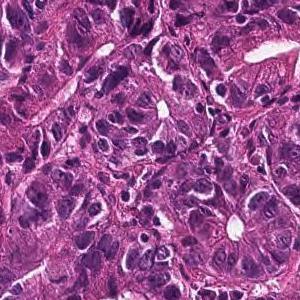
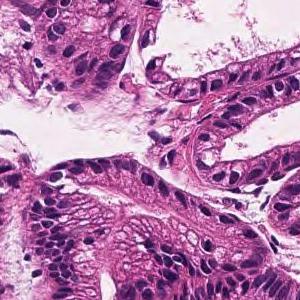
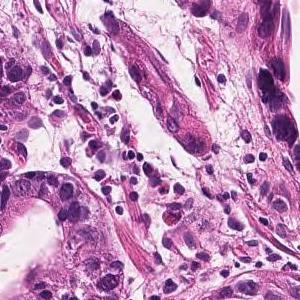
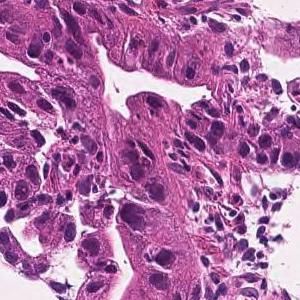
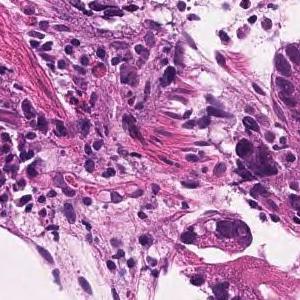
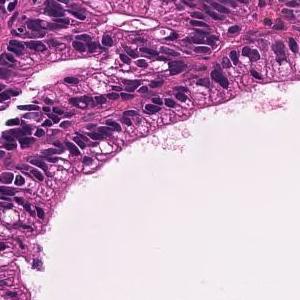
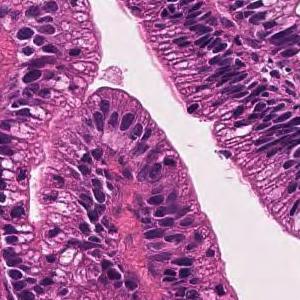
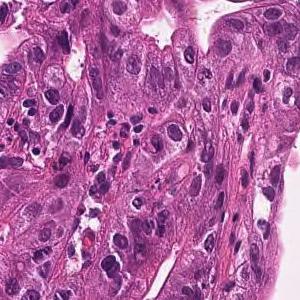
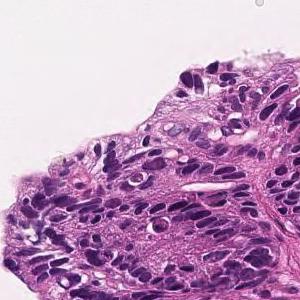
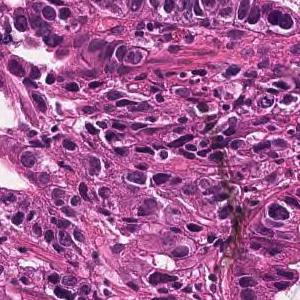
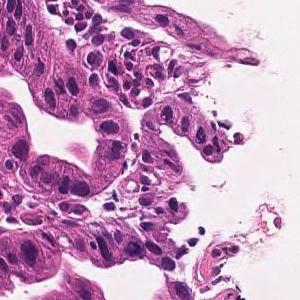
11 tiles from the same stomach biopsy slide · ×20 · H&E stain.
The pathologist's report on the biopsy slide these tiles were taken from. The report and the diagnosis describe the slide as a whole, so these tiles may not show every feature named and may include non-tumor tissue.
In the superficial epithelium, tumor tissue that invades by forming medium-sized to small, irregular ducts is observed. moderately differentiated tubular adenocarcinoma.
